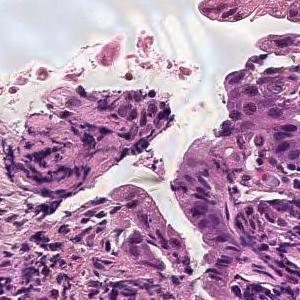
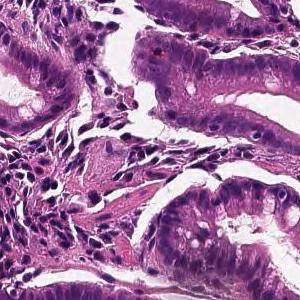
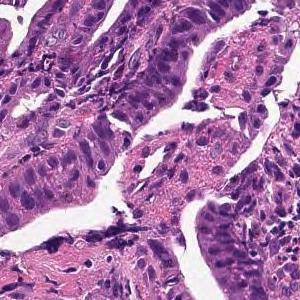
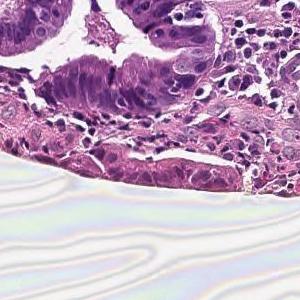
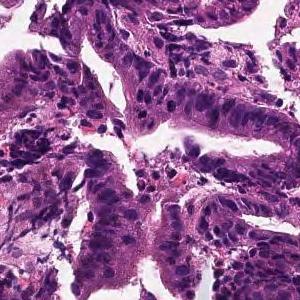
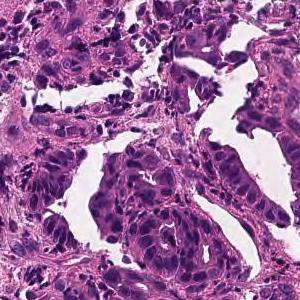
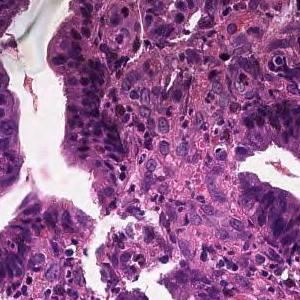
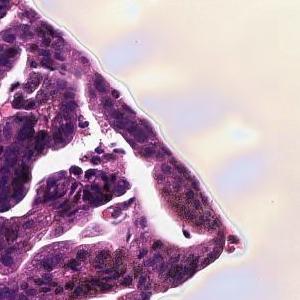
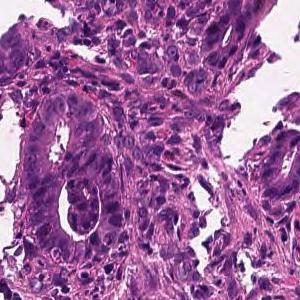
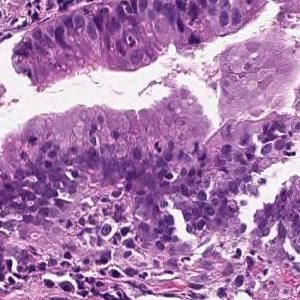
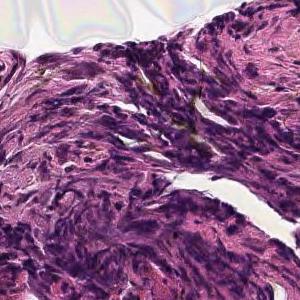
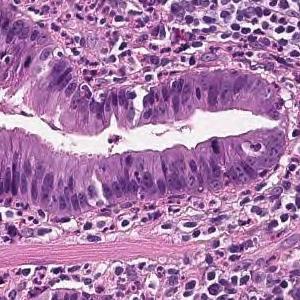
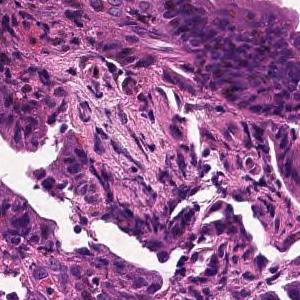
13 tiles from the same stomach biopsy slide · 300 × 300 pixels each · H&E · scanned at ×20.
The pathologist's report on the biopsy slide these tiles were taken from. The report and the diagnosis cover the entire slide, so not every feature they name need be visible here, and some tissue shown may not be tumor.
From the superficial epithelium to the muscularis mucosae, tumor tissue consisting of medium-sized and irregular glandular ducts infiltrating is observed. Well differentiated tubular adenocarcinoma
